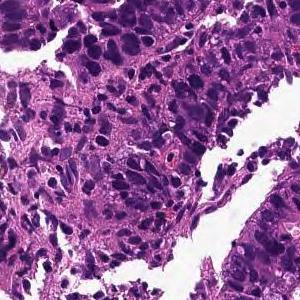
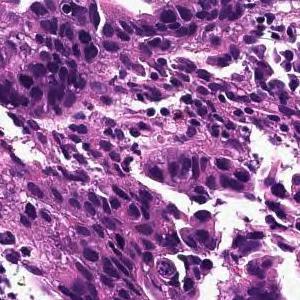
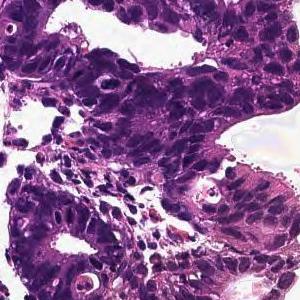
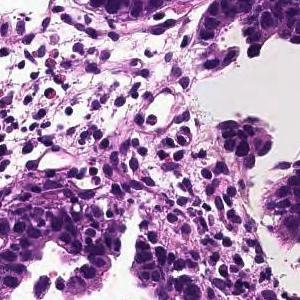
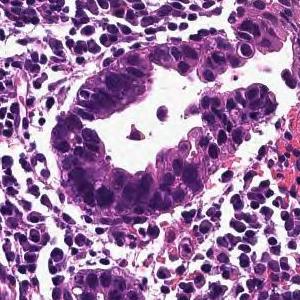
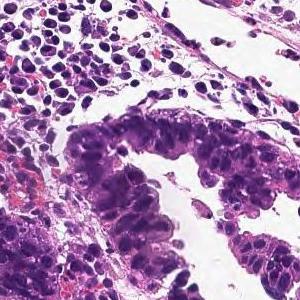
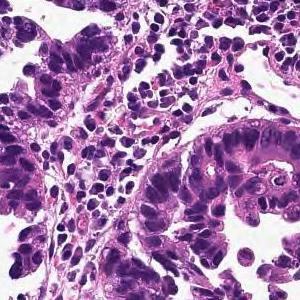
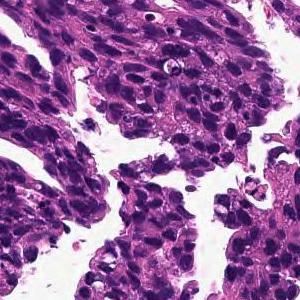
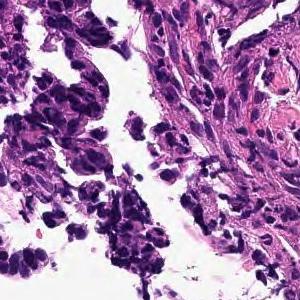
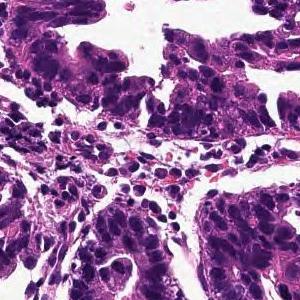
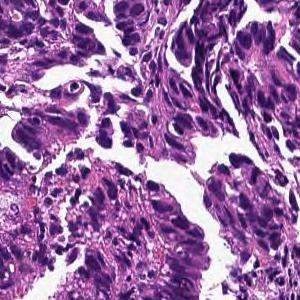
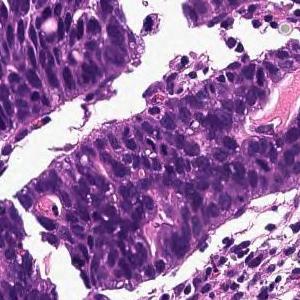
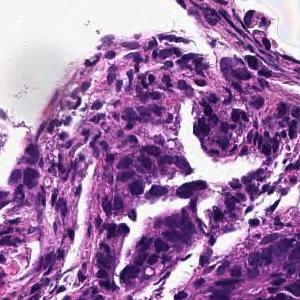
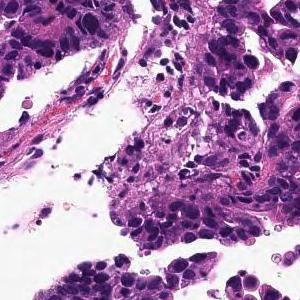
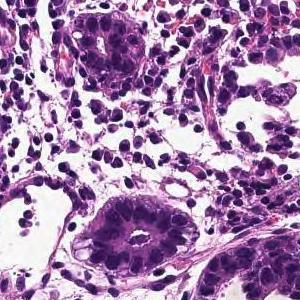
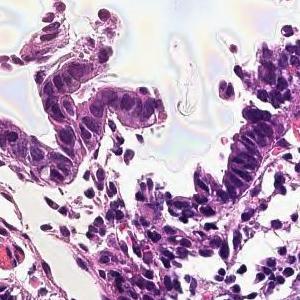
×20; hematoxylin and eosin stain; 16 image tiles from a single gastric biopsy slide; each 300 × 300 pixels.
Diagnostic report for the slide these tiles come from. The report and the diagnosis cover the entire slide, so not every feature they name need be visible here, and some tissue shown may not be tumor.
In the superficial epithelium, tumor tissue that invades by forming medium-sized to small, irregular ducts is observed. moderately differentiated tubular adenocarcinoma.
